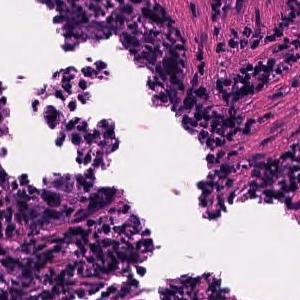
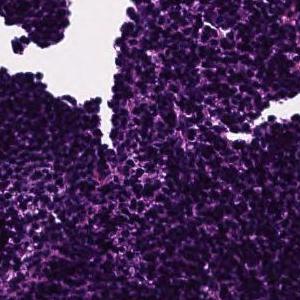
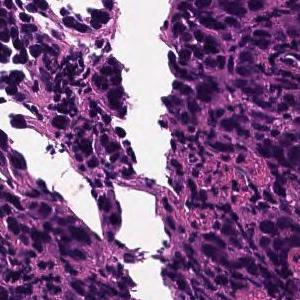
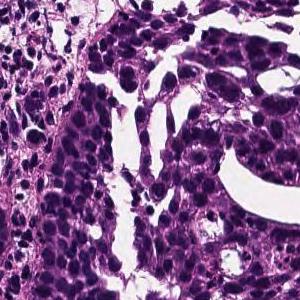
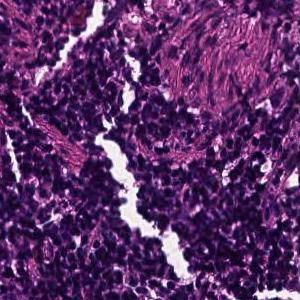
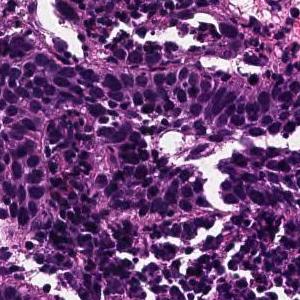
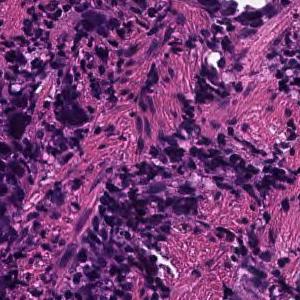
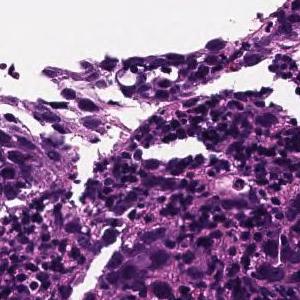
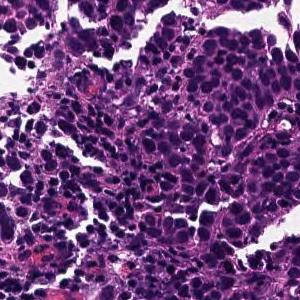
9 tiles from the same stomach biopsy slide, 20× magnification, H&E.
Pathology report for the slide these tiles were cut from. The report and the diagnosis cover the entire slide, so not every feature they name need be visible here, and some tissue shown may not be tumor.
Tumor tissue consisting of cord-like or small, irregular glandular ducts fused and infiltrated is observed in the superficial epithelium. Poorly differentiated adenocarcinoma, non-solid type
"Non-solid type" is a category of the Japanese Classification of Gastric Carcinoma.
